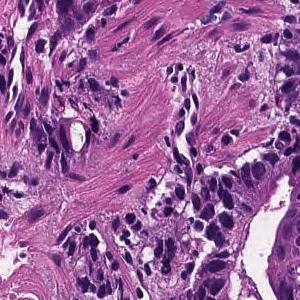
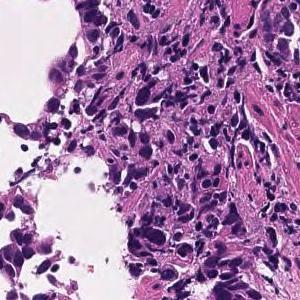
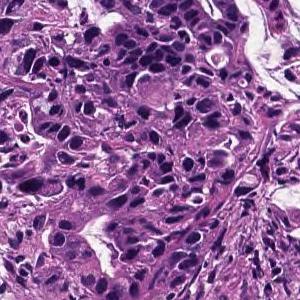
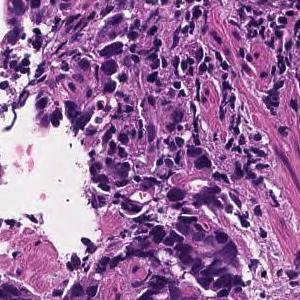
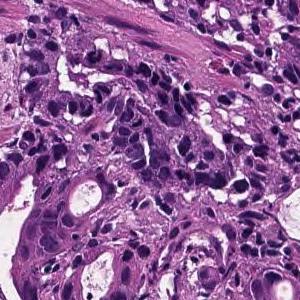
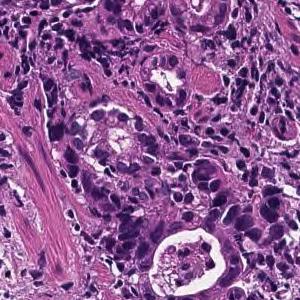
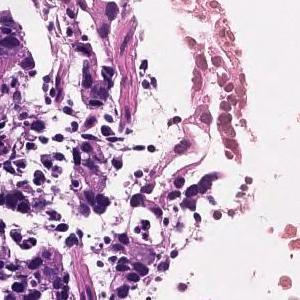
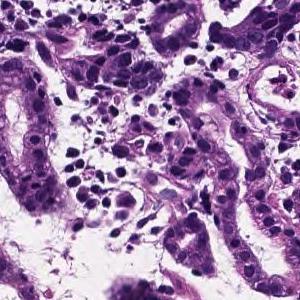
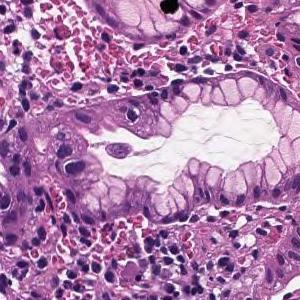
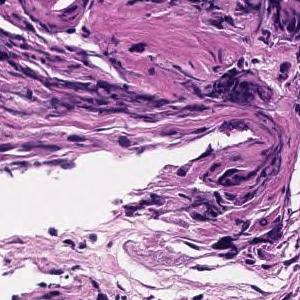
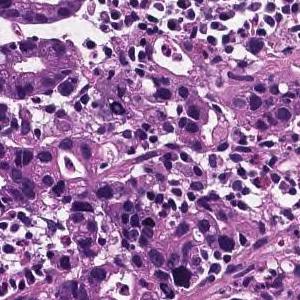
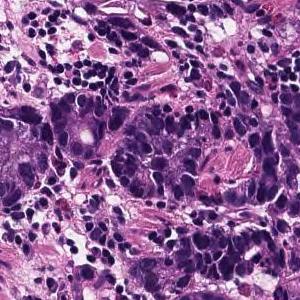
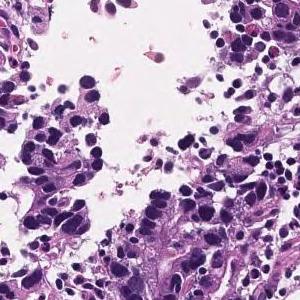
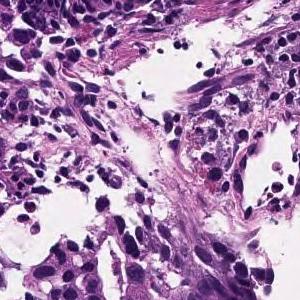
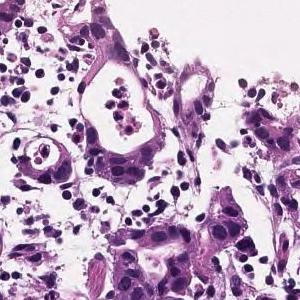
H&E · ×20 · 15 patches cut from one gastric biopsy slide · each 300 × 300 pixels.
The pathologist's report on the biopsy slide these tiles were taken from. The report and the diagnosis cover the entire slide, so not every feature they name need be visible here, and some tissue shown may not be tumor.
In the superficial epithelium, tumor tissue that invades by forming medium-sized to small, irregular ducts is observed. moderately differentiated tubular adenocarcinoma.
